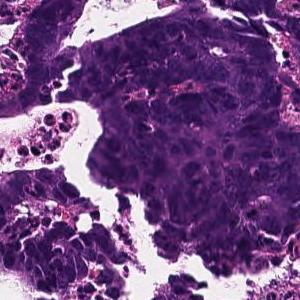
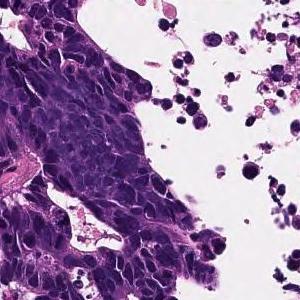
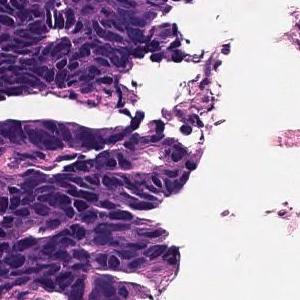
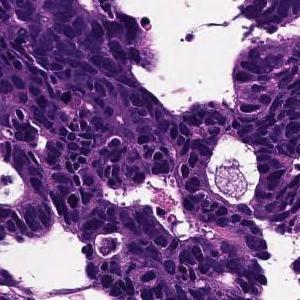
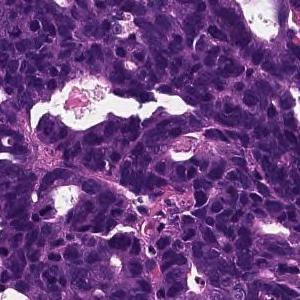
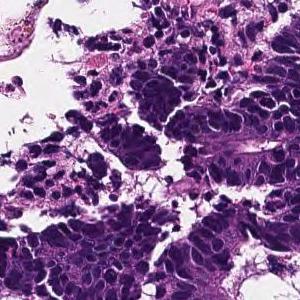
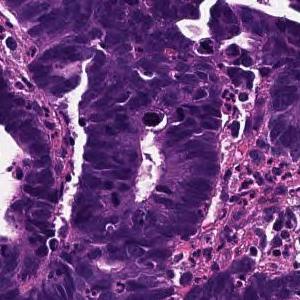
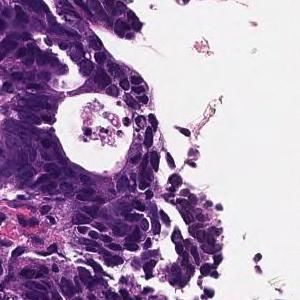
8 tiles cut from one stomach biopsy slide; each 300 × 300 pixels; H&E; ×20.
Report on the slide these tiles come from. What the report and the diagnosis say applies to the whole slide; these tiles may miss some of the features named and may include tissue that is not tumor.
In the superficial epithelium, tumor tissue that invades by forming medium-sized to small, irregular ducts is observed. moderately differentiated tubular adenocarcinoma.
